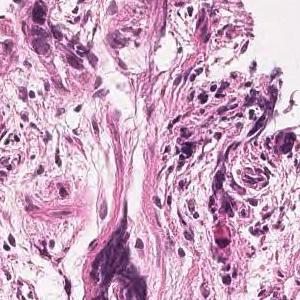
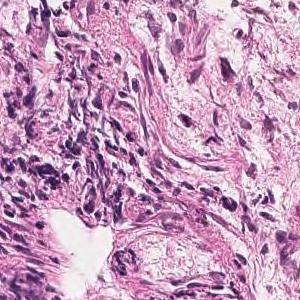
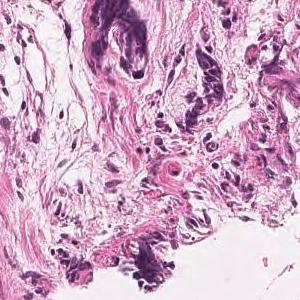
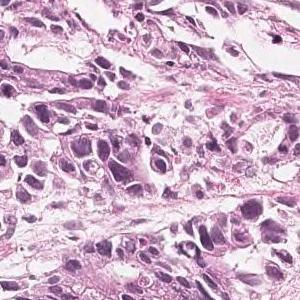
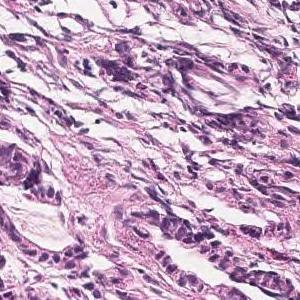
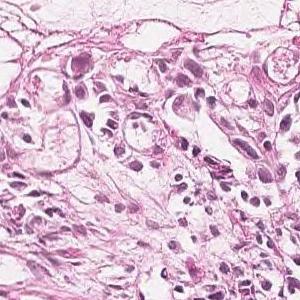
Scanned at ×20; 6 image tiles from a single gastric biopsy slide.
Pathology report for the biopsy slide these tiles were cut from. Both the report and the diagnosis are for the whole slide: these tiles need not show every feature named, and some of the tissue shown may not be tumor.
On the superficial epithelium, tumor tissue consisting of large, irregular glandular ducts partially fused and infiltrated is observed. Well to moderately differentiated tubular adenocarcinoma (well differentiated tubular adenocarcinoma, moderately differentiated tubular adenocarcinoma)
Histologic type: Well to moderately differentiated tubular adenocarcinoma.
